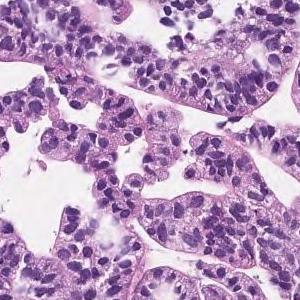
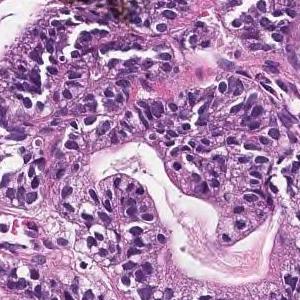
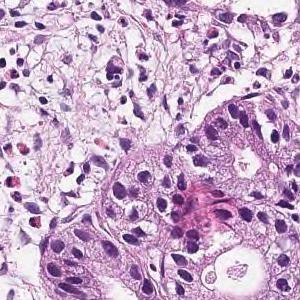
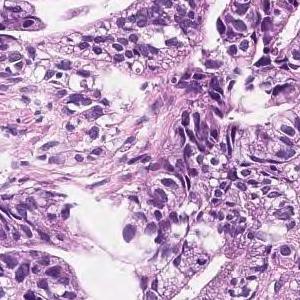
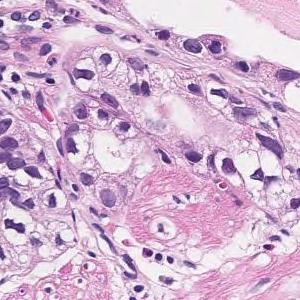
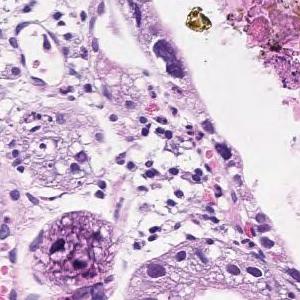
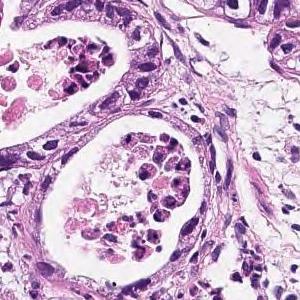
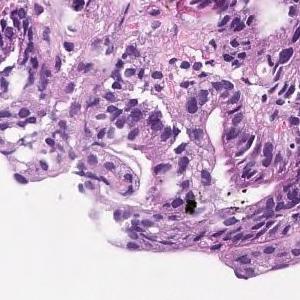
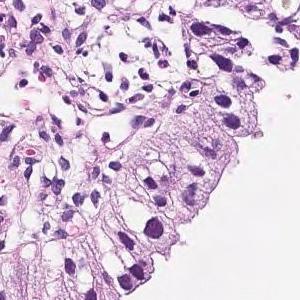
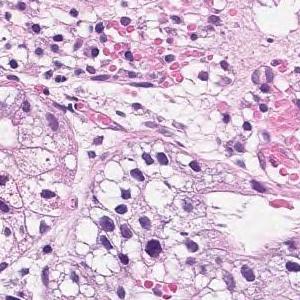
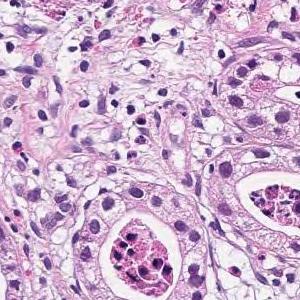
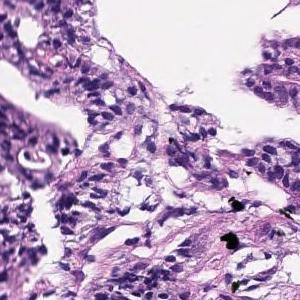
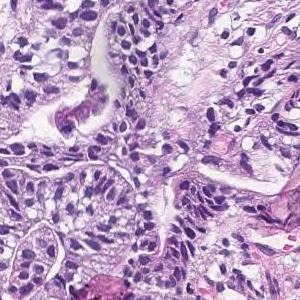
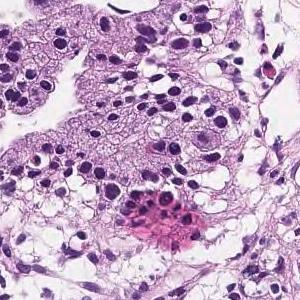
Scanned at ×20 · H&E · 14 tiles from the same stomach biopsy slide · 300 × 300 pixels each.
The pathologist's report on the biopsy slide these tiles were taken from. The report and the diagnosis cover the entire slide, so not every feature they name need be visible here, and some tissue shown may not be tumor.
In the superficial epithelium, tumor tissue that invades by forming medium-sized to small, irregular ducts is observed. Moderately differentiated adenocarcinoma.
Classified as moderately differentiated tubular adenocarcinoma.
